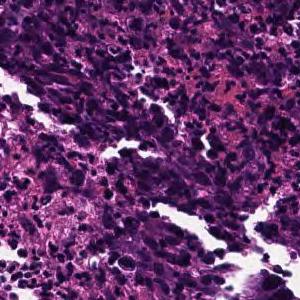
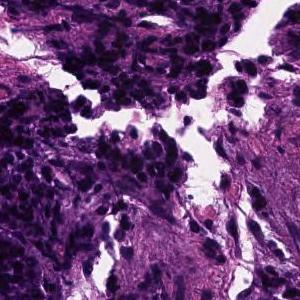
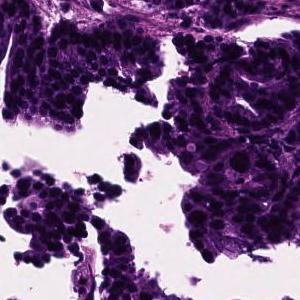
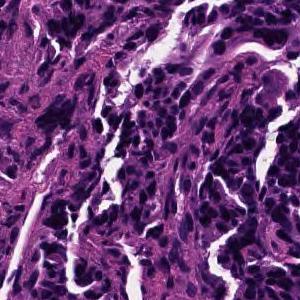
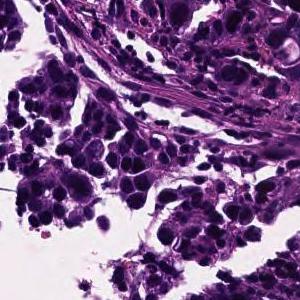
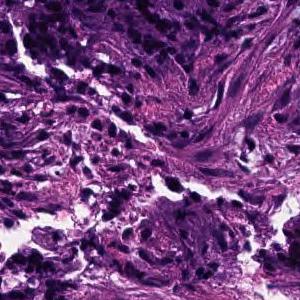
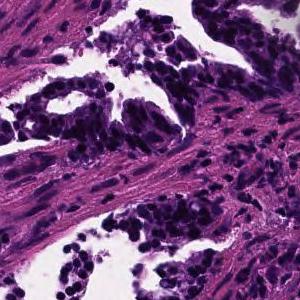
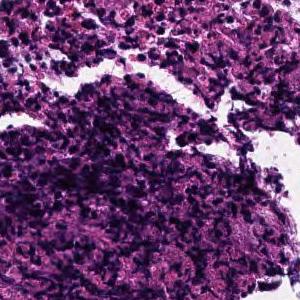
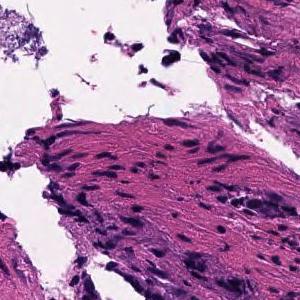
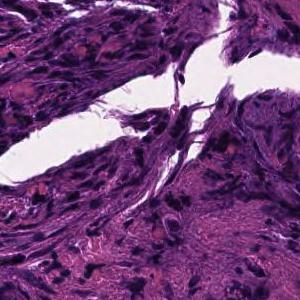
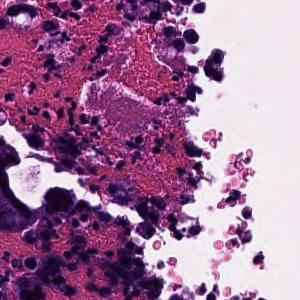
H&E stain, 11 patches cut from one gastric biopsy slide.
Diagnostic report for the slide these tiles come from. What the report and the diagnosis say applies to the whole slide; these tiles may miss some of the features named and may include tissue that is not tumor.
In the superficial epithelium, tumor tissue that invades by forming medium-sized to small, irregular ducts is observed. moderately differentiated tubular adenocarcinoma.
